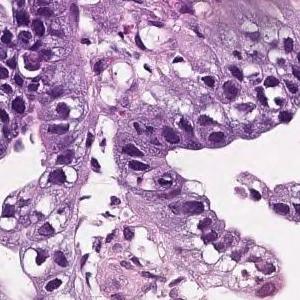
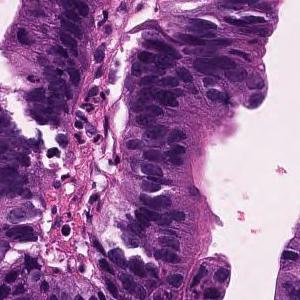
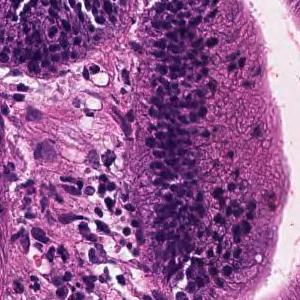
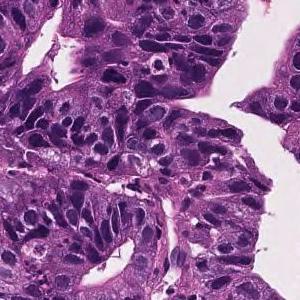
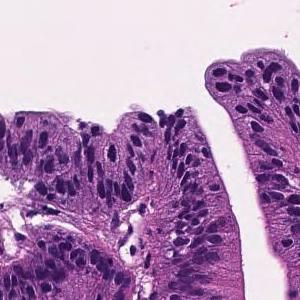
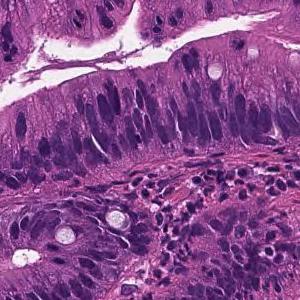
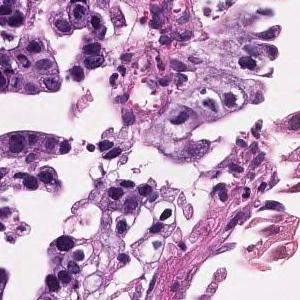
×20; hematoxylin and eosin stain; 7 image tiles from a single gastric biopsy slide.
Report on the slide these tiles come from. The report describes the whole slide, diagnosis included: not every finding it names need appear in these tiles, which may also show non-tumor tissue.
Tumor cells are large, highly columnar, large club-shaped nuclei, and are associated with chromatin aggregation. Papillary adenocarcinoma.
